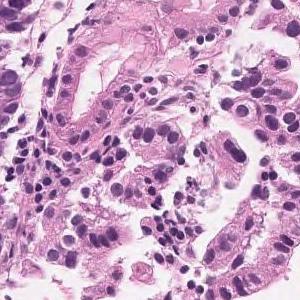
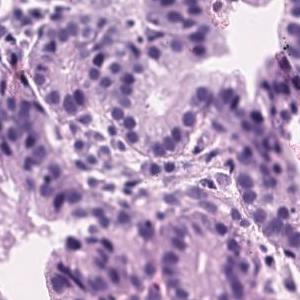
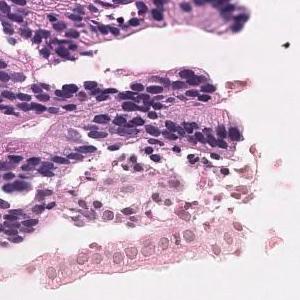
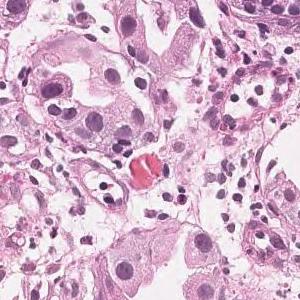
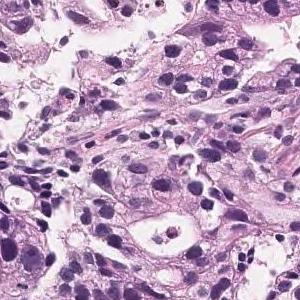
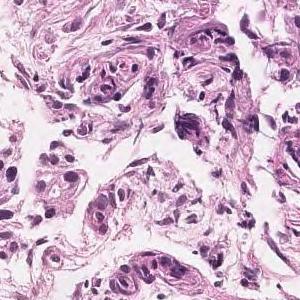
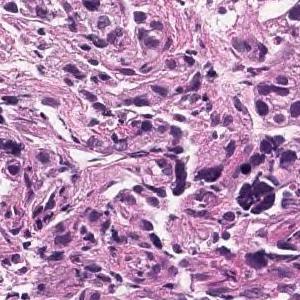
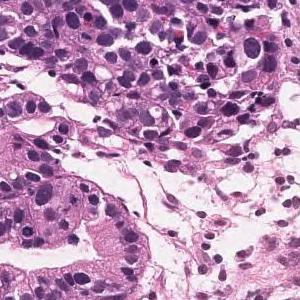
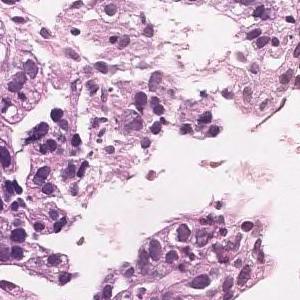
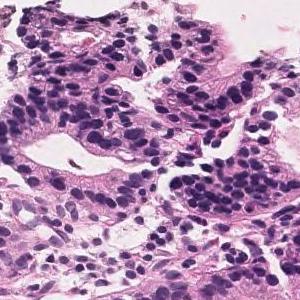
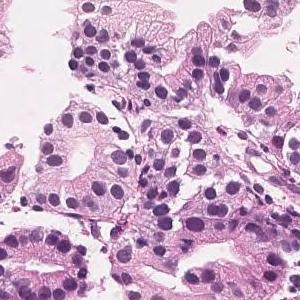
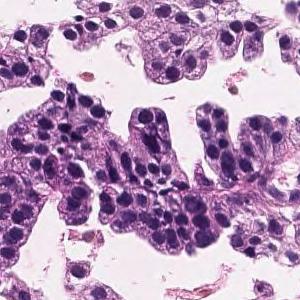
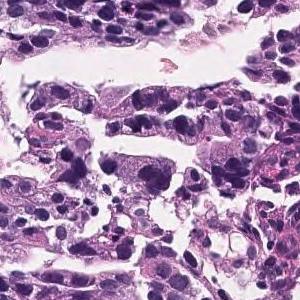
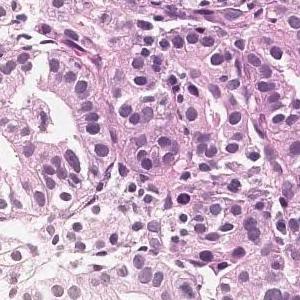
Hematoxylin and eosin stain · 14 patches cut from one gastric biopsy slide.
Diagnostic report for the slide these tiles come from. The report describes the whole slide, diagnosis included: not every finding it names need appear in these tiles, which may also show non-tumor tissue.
In the superficial epithelium, tumor tissue that invades by forming medium-sized to small, irregular ducts is observed. moderately differentiated tubular adenocarcinoma.
